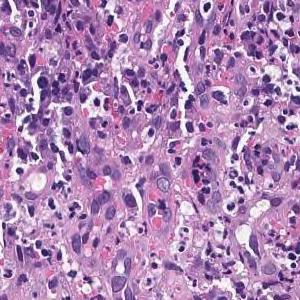
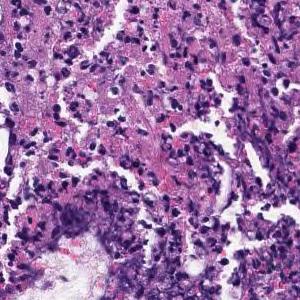
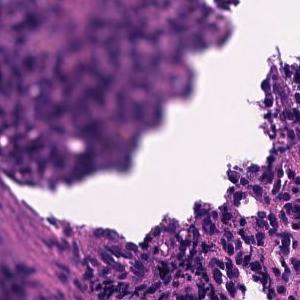
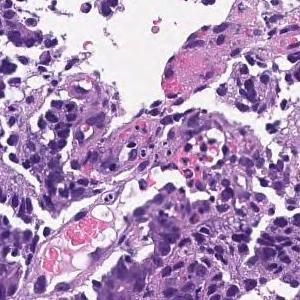
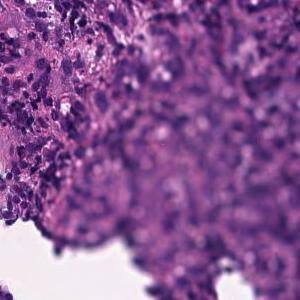
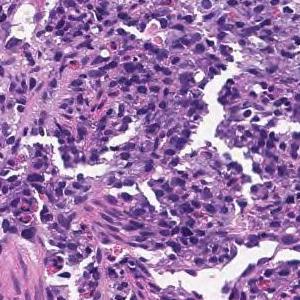
H&E, 6 image tiles from a single gastric biopsy slide.
Diagnostic report for the slide these tiles come from. Both the report and the diagnosis are for the whole slide: these tiles need not show every feature named, and some of the tissue shown may not be tumor.
On the superficial epithelium, tumor tissue consisting of large irregular glandular ducts partially fused and infiltrated is observed. Well to moderately differentiated tubular adenocarcinoma (well differentiated tubular adenocarcinoma, moderately differentiated tubular adenocarcinoma)
Subtype: Well to moderately differentiated tubular adenocarcinoma.
